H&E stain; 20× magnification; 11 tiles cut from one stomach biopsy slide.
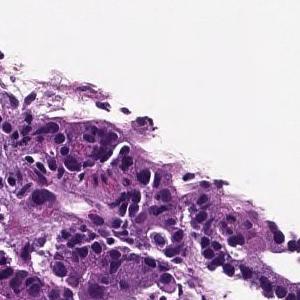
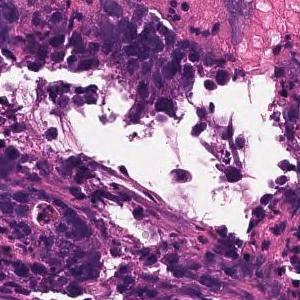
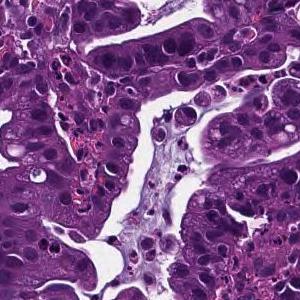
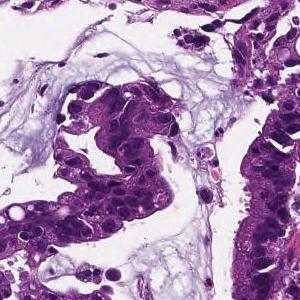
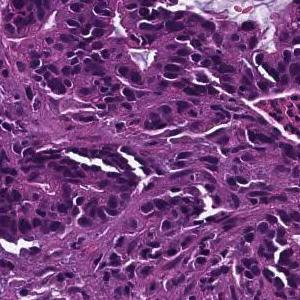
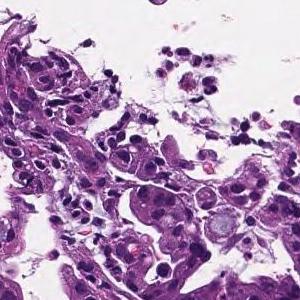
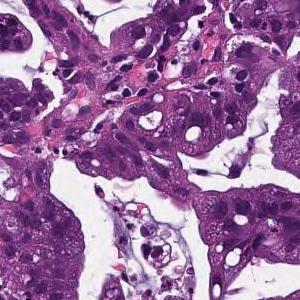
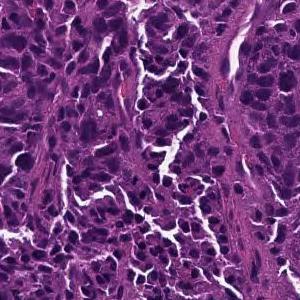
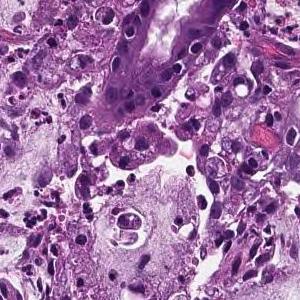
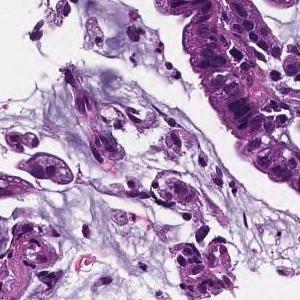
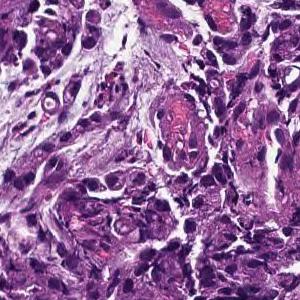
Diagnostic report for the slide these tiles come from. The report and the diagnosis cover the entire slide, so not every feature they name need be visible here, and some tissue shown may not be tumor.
On the superficial epithelium, tumor tissue consisting of large irregular glandular ducts partially fused and infiltrated is observed. Well to moderately differentiated tubular adenocarcinoma (well differentiated tubular adenocarcinoma, moderately differentiated tubular adenocarcinoma)
Histologic type: Well to moderately differentiated tubular adenocarcinoma.
